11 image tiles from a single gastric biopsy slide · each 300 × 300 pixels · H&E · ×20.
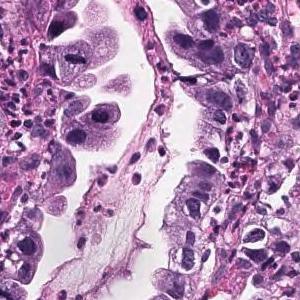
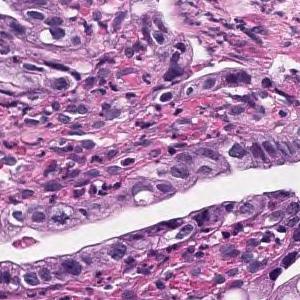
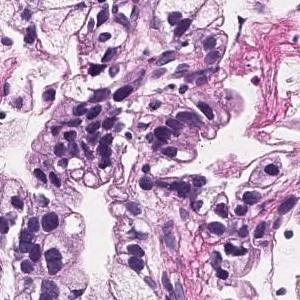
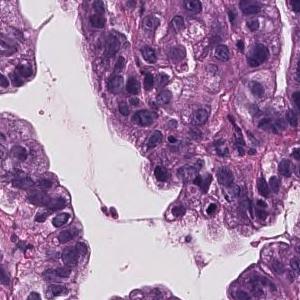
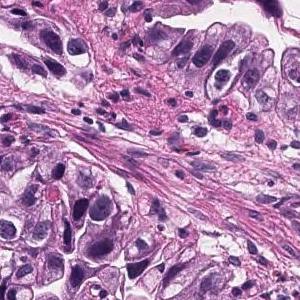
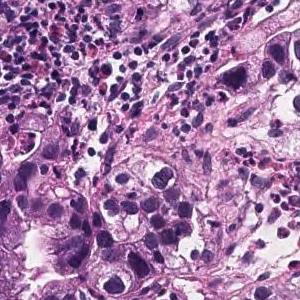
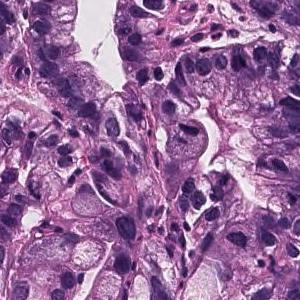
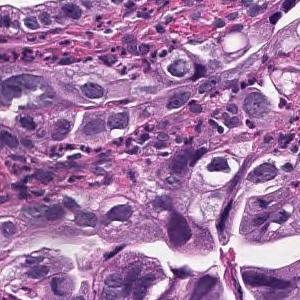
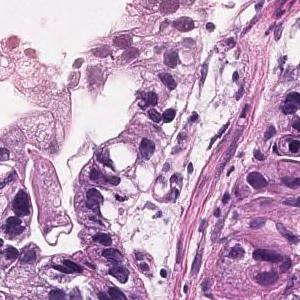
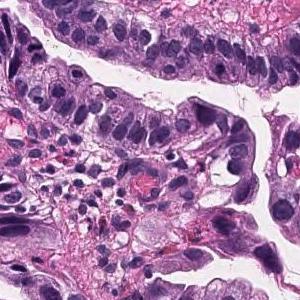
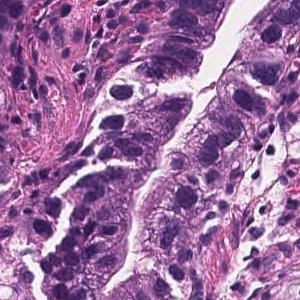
The pathologist's report on the biopsy slide these tiles were taken from. What the report and the diagnosis say applies to the whole slide; these tiles may miss some of the features named and may include tissue that is not tumor.
Tumor cells are large, highly columnar, large club-shaped nuclei, and are associated with chromatin aggregation. Papillary adenocarcinoma.
